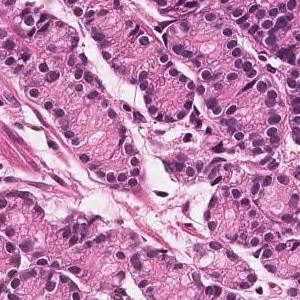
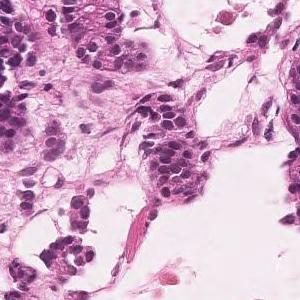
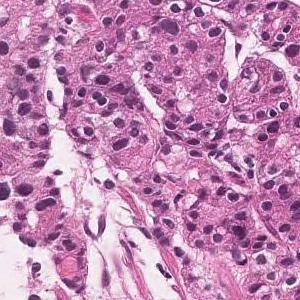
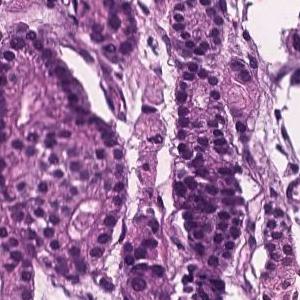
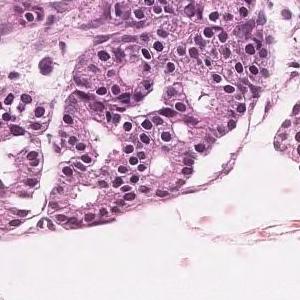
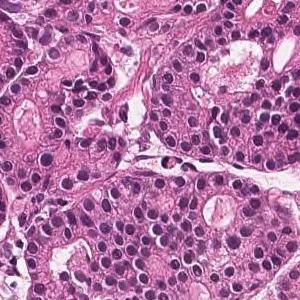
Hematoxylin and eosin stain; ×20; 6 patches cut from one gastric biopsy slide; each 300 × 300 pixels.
Diagnostic report for the slide these tiles come from. The report and the diagnosis cover the entire slide, so not every feature they name need be visible here, and some tissue shown may not be tumor.
In the superficial epithelium, tumor tissue that invades by forming medium-sized to small, irregular ducts is observed. Moderately differentiated adenocarcinoma.
Histological subtype: Moderately differentiated tubular adenocarcinoma.
